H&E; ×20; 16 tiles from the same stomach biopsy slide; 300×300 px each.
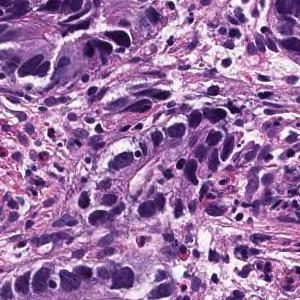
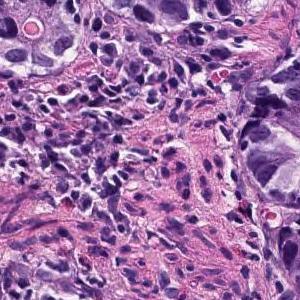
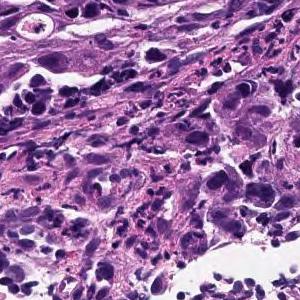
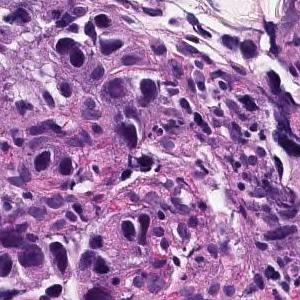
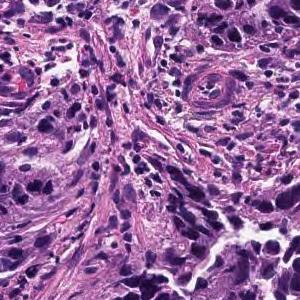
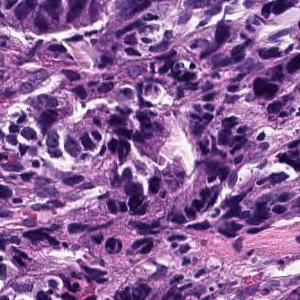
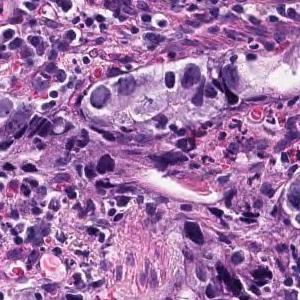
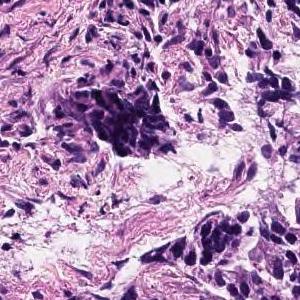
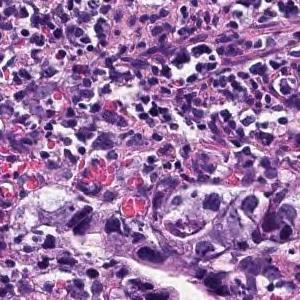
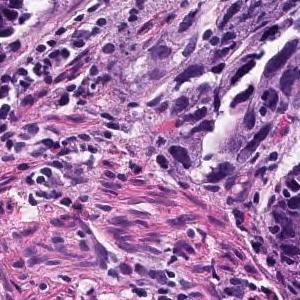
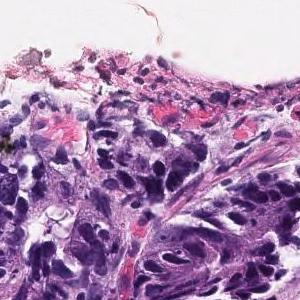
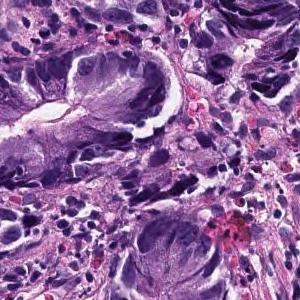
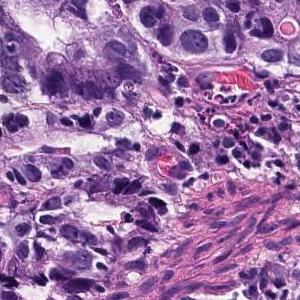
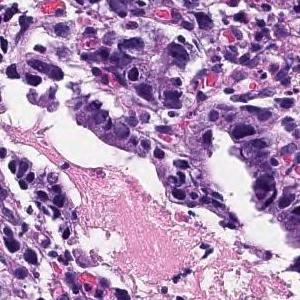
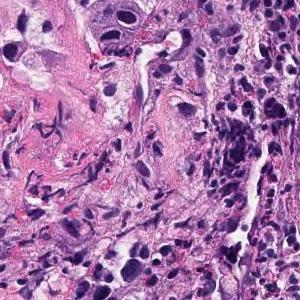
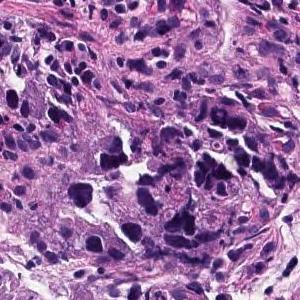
Pathology report for the slide these tiles were cut from. The report describes the whole slide, diagnosis included: not every finding it names need appear in these tiles, which may also show non-tumor tissue.
In the superficial epithelium, tumor tissue that invades by forming medium-sized to small, irregular ducts is observed. Tumor cells are columnar or cuboidal in shape. Moderately differentiated adenocarcinoma.
Subtype: Moderately differentiated tubular adenocarcinoma.
